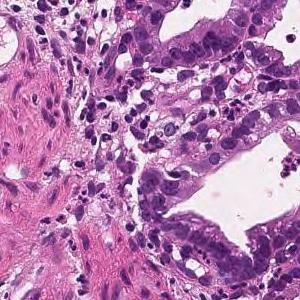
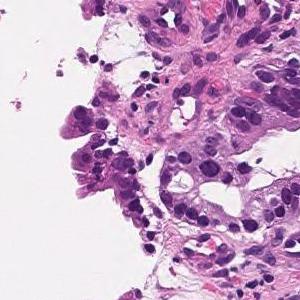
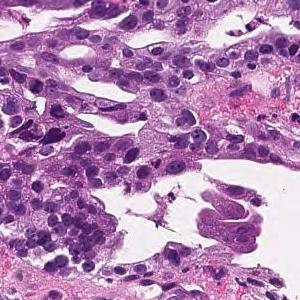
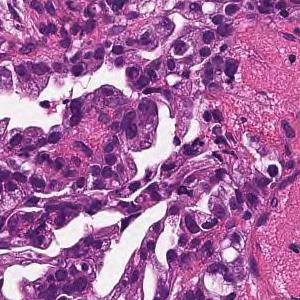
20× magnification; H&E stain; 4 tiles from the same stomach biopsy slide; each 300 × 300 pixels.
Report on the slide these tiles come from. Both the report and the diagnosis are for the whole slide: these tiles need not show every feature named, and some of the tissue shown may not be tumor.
On the superficial epithelium, tumor tissue that infiltrates by forming medium-sized papillary or small irregular ducts is observed. Papillary adenocarcinoma
